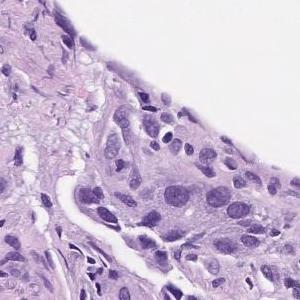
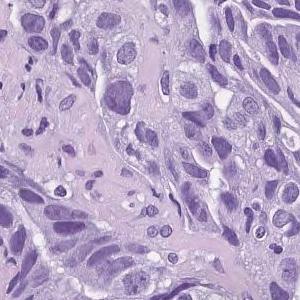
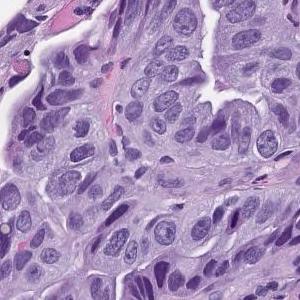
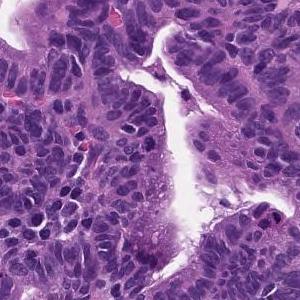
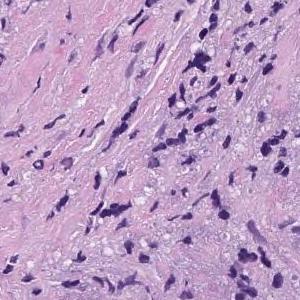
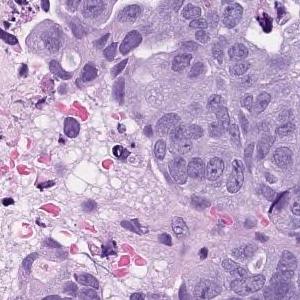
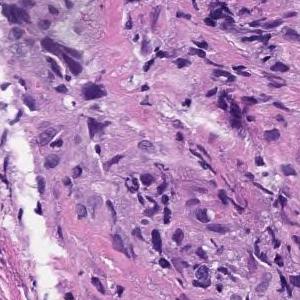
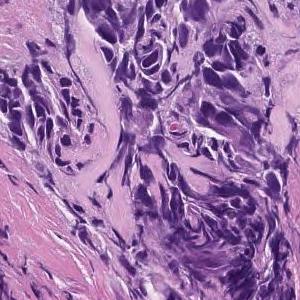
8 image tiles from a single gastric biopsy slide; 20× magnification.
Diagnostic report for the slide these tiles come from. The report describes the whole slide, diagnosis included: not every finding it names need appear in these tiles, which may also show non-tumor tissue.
In the superficial epithelium, tumor tissue that invades by forming medium-sized to small, irregular ducts is observed. moderately differentiated tubular adenocarcinoma.
